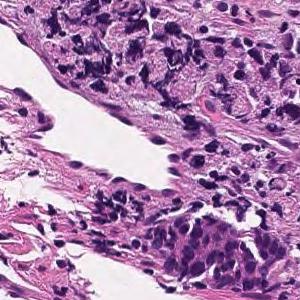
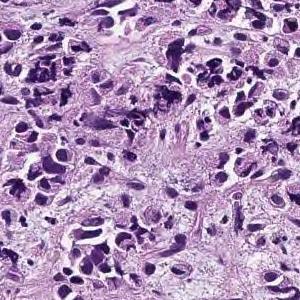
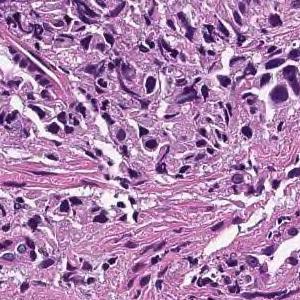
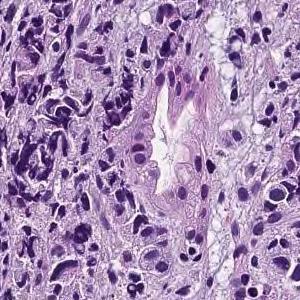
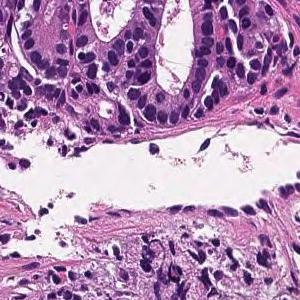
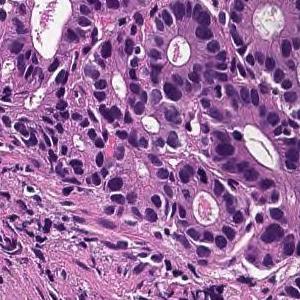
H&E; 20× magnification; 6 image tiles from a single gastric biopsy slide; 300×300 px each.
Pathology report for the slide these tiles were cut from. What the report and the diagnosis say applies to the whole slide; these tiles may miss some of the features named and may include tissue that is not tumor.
The lamina propria shows small cord-like tumor tissue that infiltrates with fibrosis and marked chronic inflammatory cell infiltration. Poorly differentiated adenocarcinoma, non-solid type
"Non-solid type" is a category of the Japanese Classification of Gastric Carcinoma.
